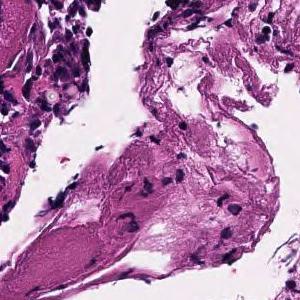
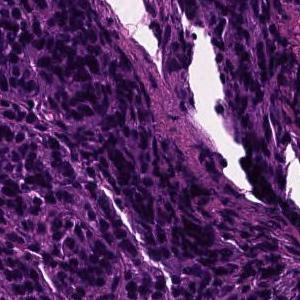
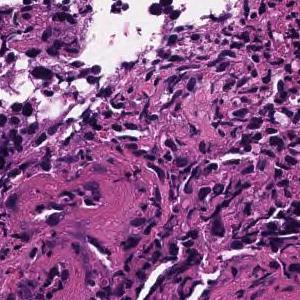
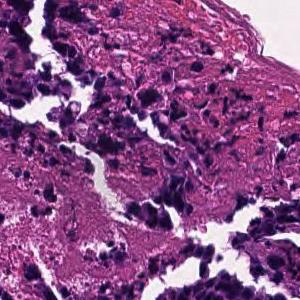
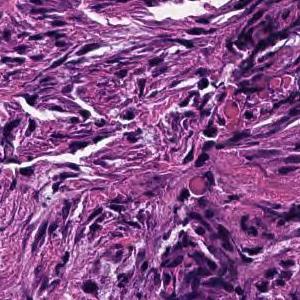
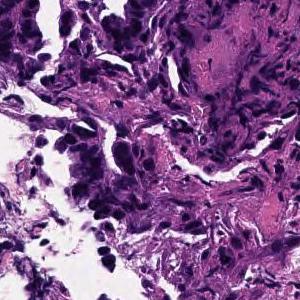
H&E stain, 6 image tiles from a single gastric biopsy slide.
Pathology report for the slide these tiles were cut from. The report describes the whole slide, diagnosis included: not every finding it names need appear in these tiles, which may also show non-tumor tissue.
In the superficial epithelium, tumor tissue that invades by forming medium-sized to small, irregular ducts is observed. moderately differentiated tubular adenocarcinoma.
